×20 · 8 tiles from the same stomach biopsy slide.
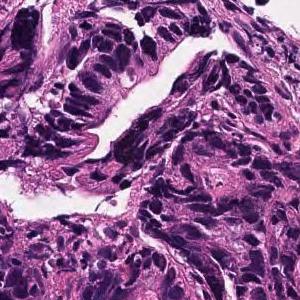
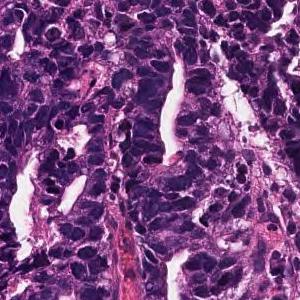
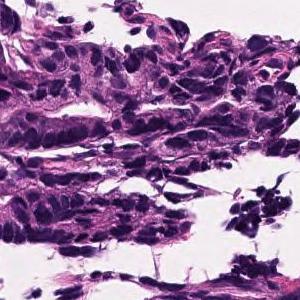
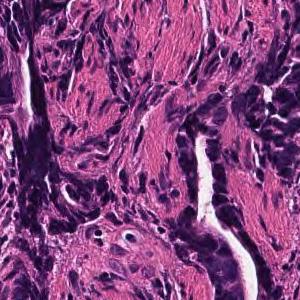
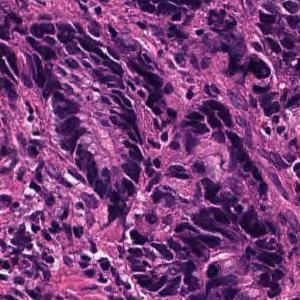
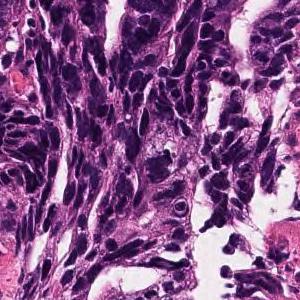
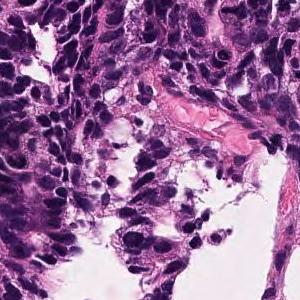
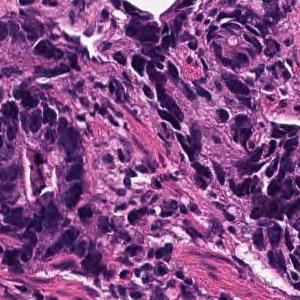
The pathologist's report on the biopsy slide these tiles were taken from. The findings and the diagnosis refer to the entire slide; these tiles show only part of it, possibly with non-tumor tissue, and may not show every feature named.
Large and small irregular small glandular ducts forming and infiltrating. moderately differentiated tubular adenocarcinoma
